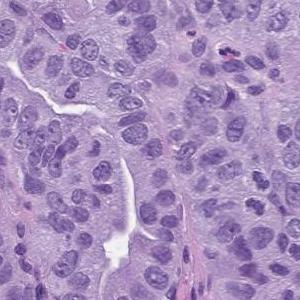
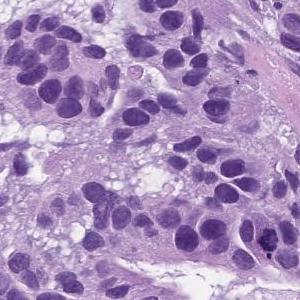
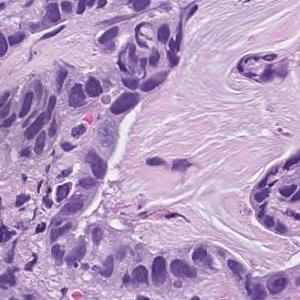
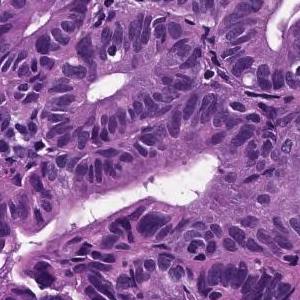
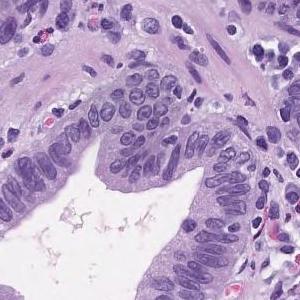
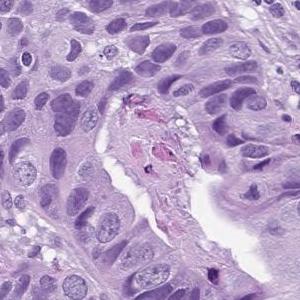
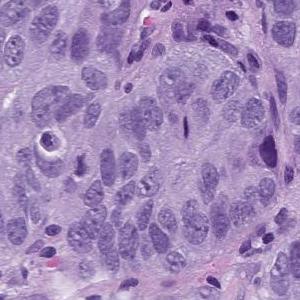
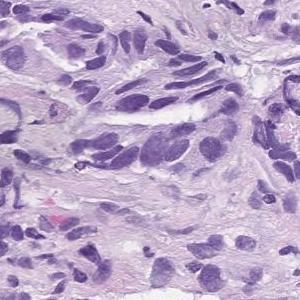
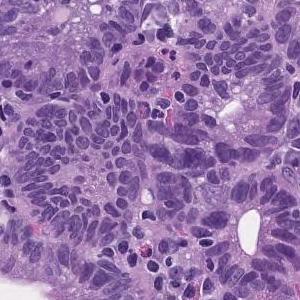
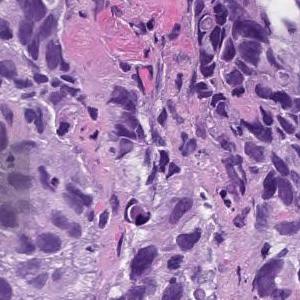
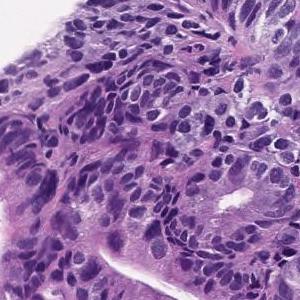
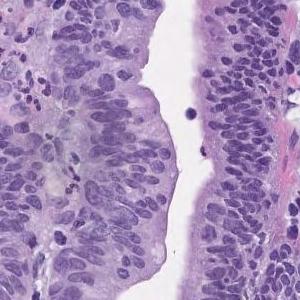
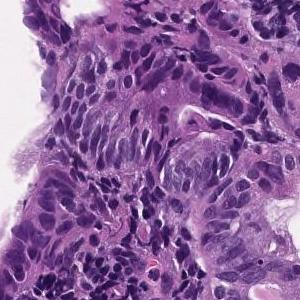
13 tiles from the same stomach biopsy slide, scanned at ×20, H&E stain.
The pathologist's report on the biopsy slide these tiles were taken from. The findings and the diagnosis refer to the entire slide; these tiles show only part of it, possibly with non-tumor tissue, and may not show every feature named.
In the superficial epithelium, tumor tissue that invades by forming medium-sized to small, irregular ducts is observed. moderately differentiated tubular adenocarcinoma.
